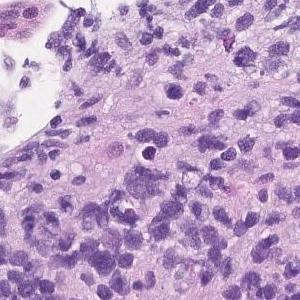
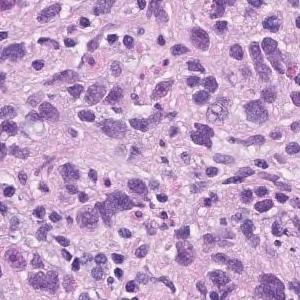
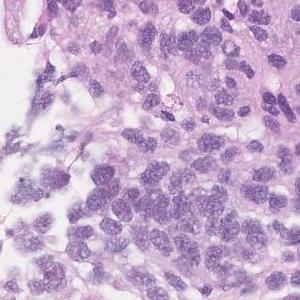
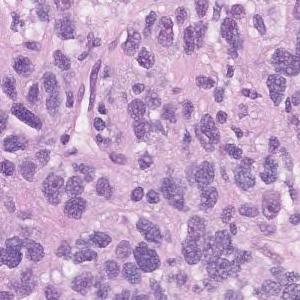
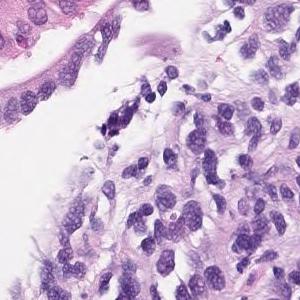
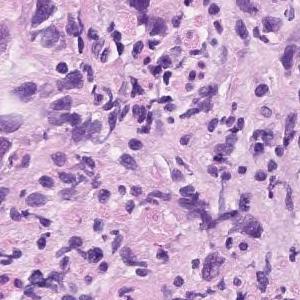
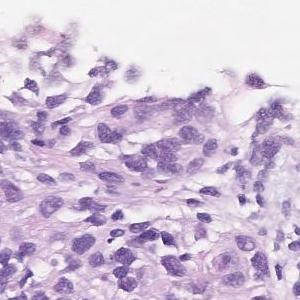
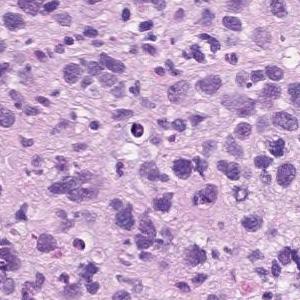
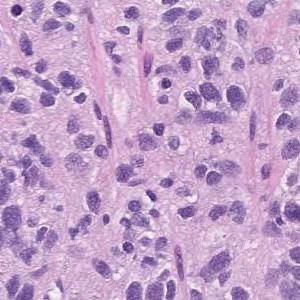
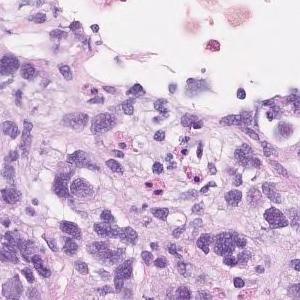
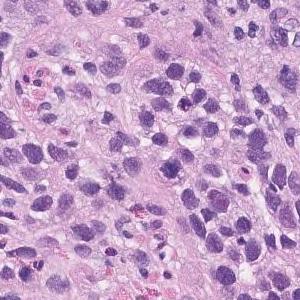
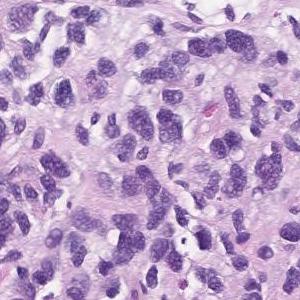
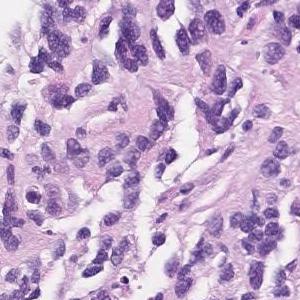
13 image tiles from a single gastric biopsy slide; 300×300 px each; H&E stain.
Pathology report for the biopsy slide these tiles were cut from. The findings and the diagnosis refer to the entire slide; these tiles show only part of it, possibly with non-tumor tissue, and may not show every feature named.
Atypical l cells with atypical nuclei under the mucosa growing in isolation and scattered. Poorly differentiated adenocarcinoma (poorly differentiated adenocarcinoma, non-solid type)
Classified as poorly differentiated adenocarcinoma, non-solid type.
The non-solid type named here is a Japanese Classification of Gastric Carcinoma category.
